15 patches cut from one gastric biopsy slide · each 300 × 300 pixels · hematoxylin and eosin stain · ×20.
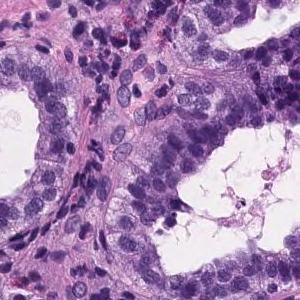
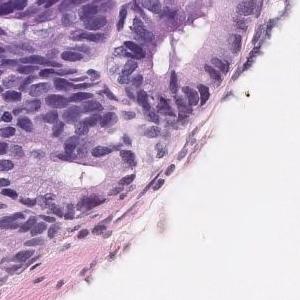
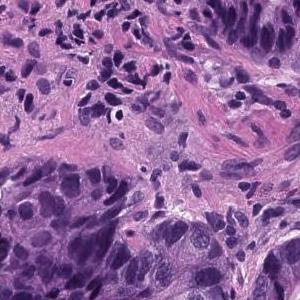
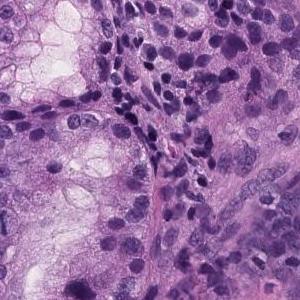
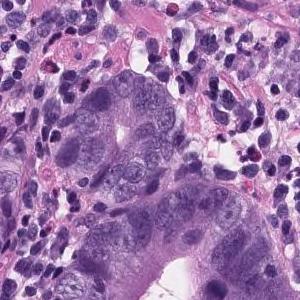
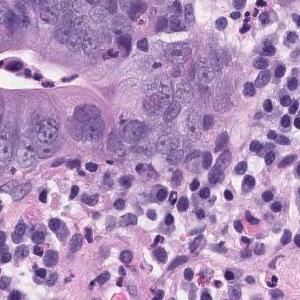
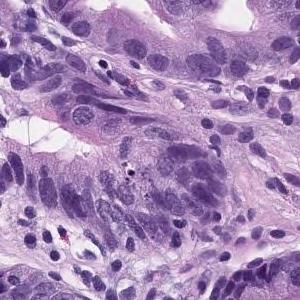
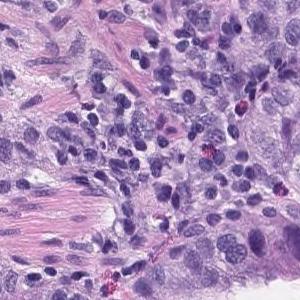
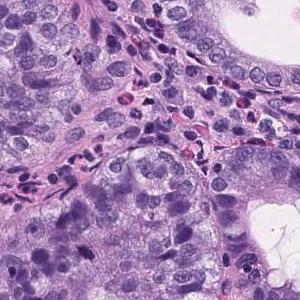
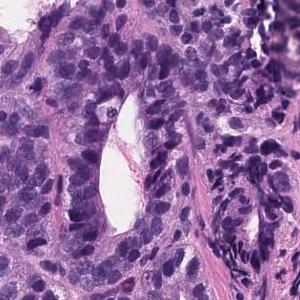
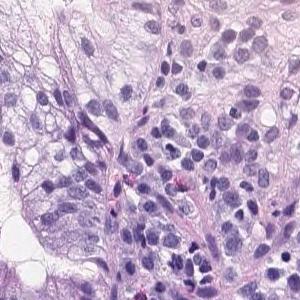
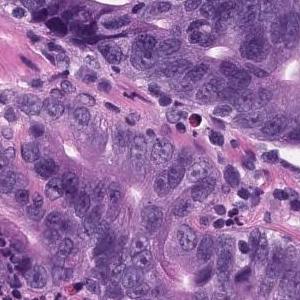
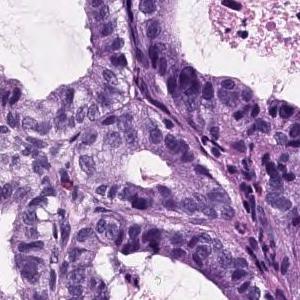
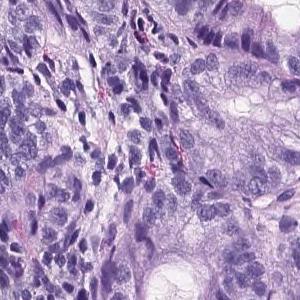
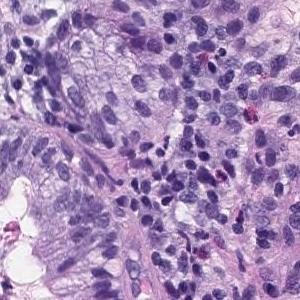
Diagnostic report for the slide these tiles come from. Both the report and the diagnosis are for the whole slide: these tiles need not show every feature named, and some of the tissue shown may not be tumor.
Tumor tissue consisting of medium-sized and irregular ducts is observed infiltrating in the superficial epithelium. Tumor cells are highly columnar, with nuclei aligned basolaterally and polarized. Well differentiated tubular adenocarcinoma.
